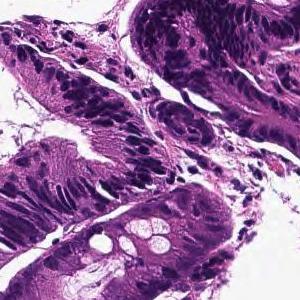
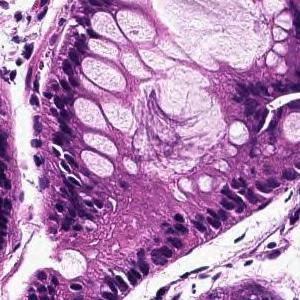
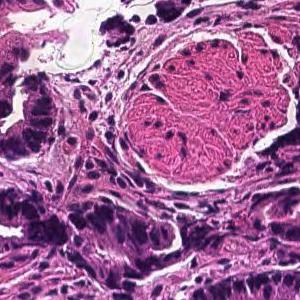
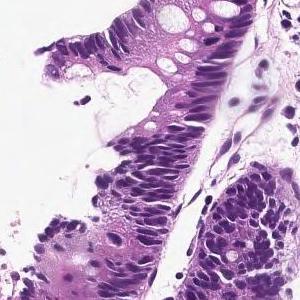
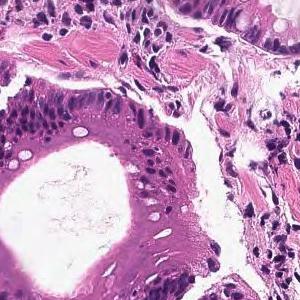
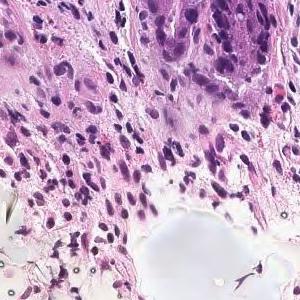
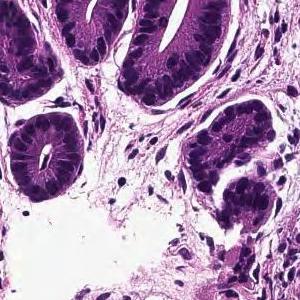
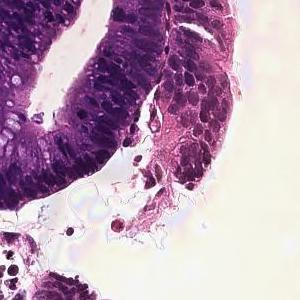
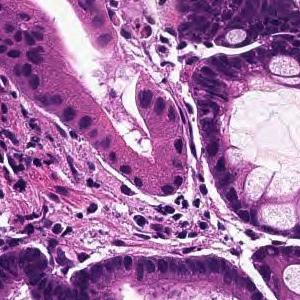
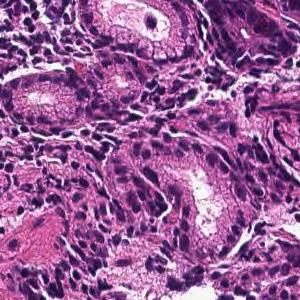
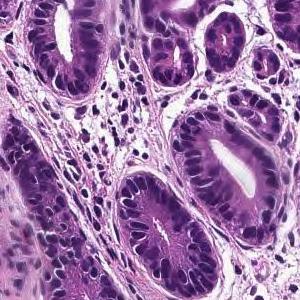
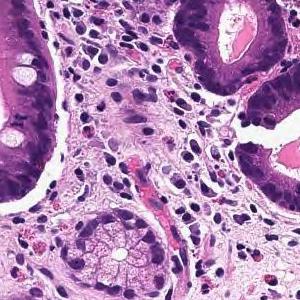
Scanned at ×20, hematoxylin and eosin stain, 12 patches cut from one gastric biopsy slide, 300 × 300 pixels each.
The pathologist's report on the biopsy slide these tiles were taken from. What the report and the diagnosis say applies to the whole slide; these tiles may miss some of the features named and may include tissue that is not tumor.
From the superficial epithelium to the muscularis mucosae, tumor tissue consisting of medium-sized and irregular glandular ducts infiltrating is observed. Well differentiated tubular adenocarcinoma
